20× magnification · H&E · 15 image tiles from a single gastric biopsy slide · each 300 × 300 pixels.
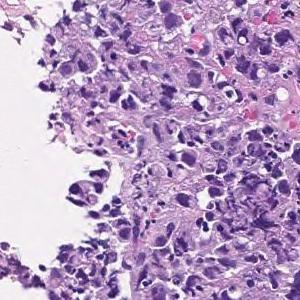
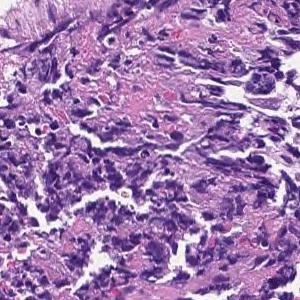
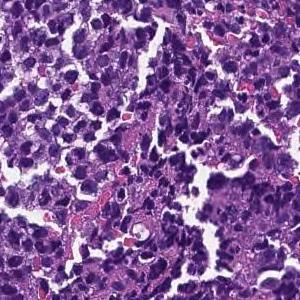
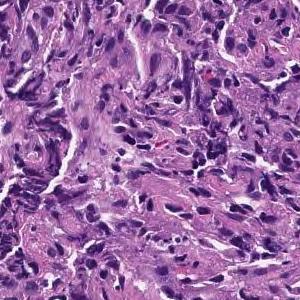
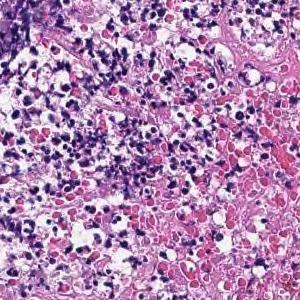
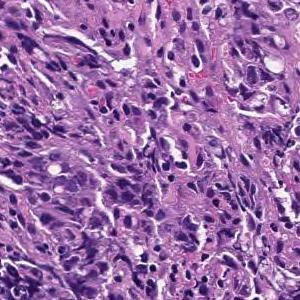
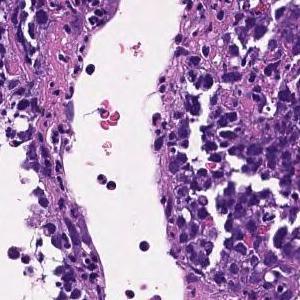
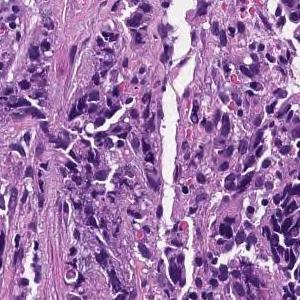
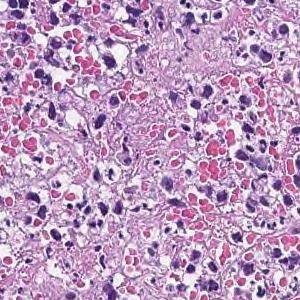
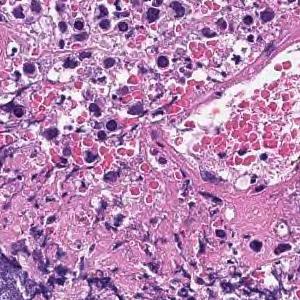
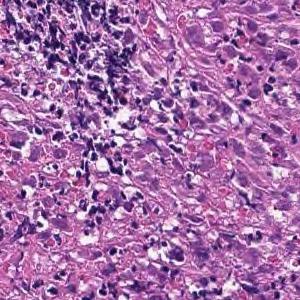
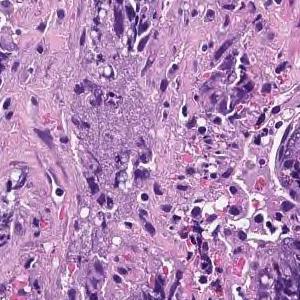
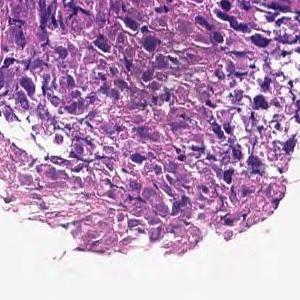
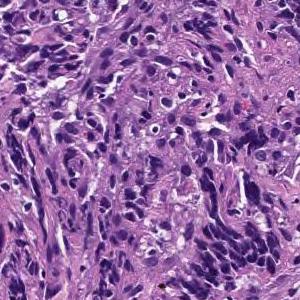
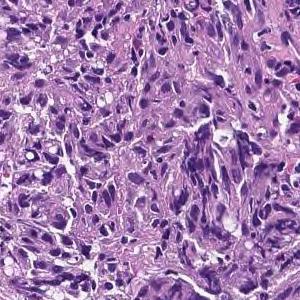
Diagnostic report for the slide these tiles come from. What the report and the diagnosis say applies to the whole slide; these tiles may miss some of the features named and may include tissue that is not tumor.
Most are composed of coagulative necrotic tissue, but some show a large sheet-like shape, and some show tumor tissue infiltrating with a small cord-like structure. Poorly differentiated adenocarcinoma, solid-type
Subtype: Poorly differentiated adenocarcinoma, solid type. This name comes from the Japanese Classification of Gastric Carcinoma; the WHO 2019 classification calls it tubular adenocarcinoma, poorly differentiated.
